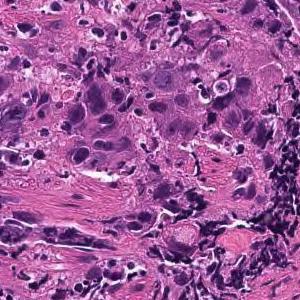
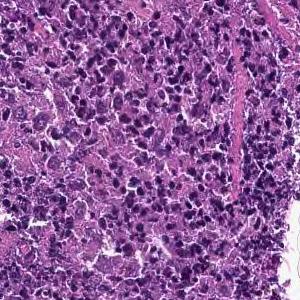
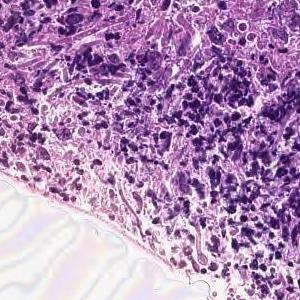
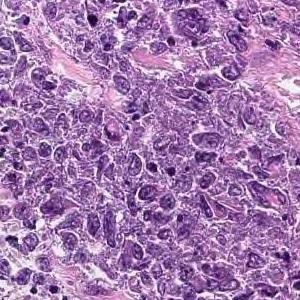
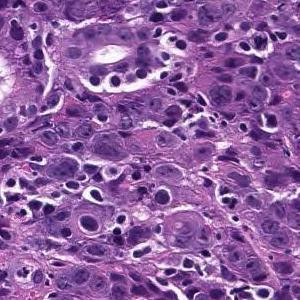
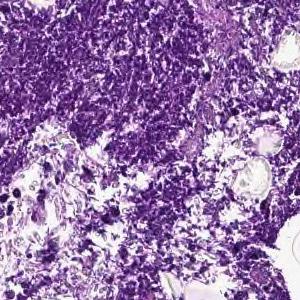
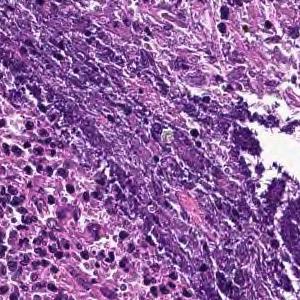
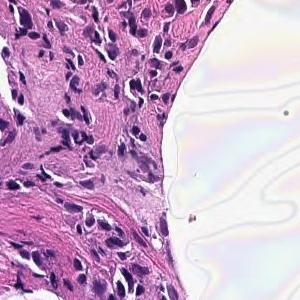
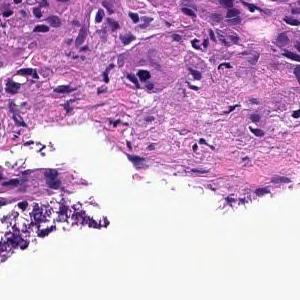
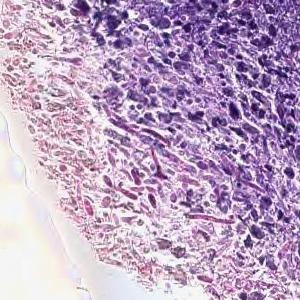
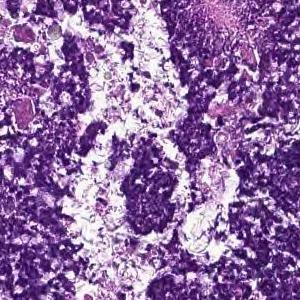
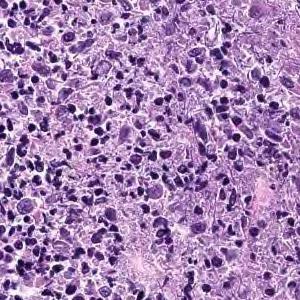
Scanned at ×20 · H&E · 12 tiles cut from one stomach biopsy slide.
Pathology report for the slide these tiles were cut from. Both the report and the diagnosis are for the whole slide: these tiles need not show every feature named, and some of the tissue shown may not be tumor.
Cancers with polygonal nuclei do not show glandular formation and are densely, in part, cord-like and proliferate. Poorly differentiated adenocarcinoma
Histologic type: Poorly differentiated adenocarcinoma, non-solid type.
"Non-solid type" is a category of the Japanese Classification of Gastric Carcinoma.
